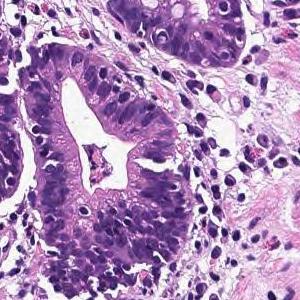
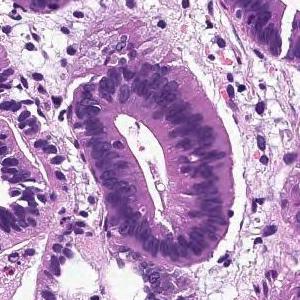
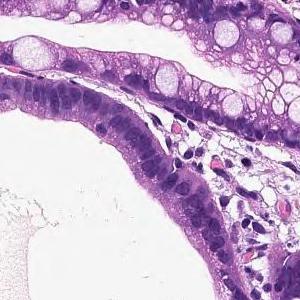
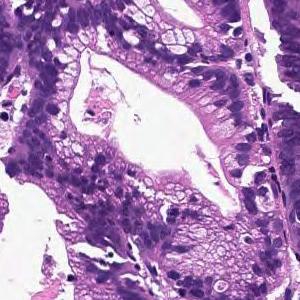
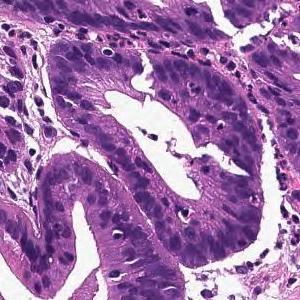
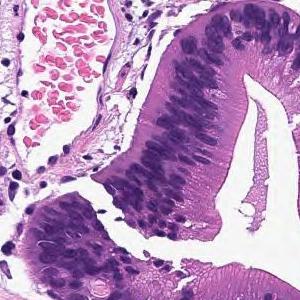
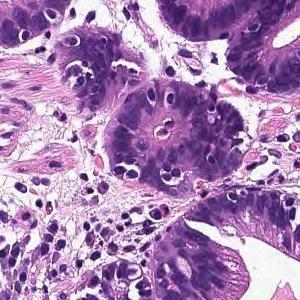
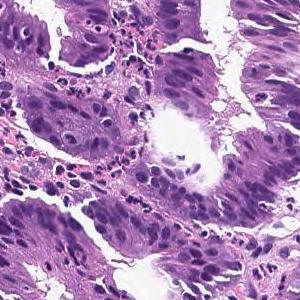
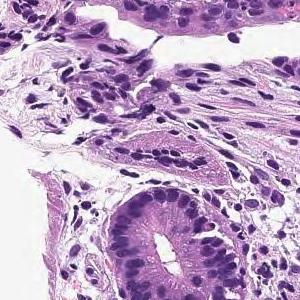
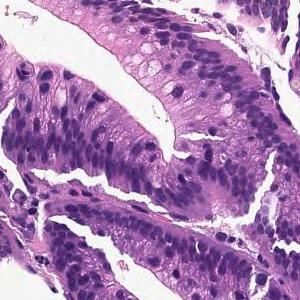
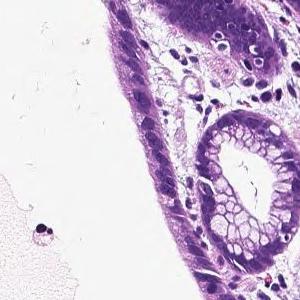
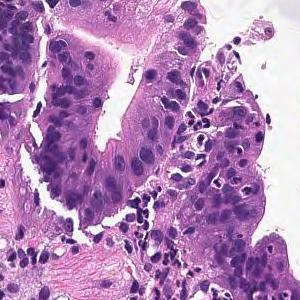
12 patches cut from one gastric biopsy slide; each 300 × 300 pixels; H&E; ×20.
Pathology report for the biopsy slide these tiles were cut from. The report and the diagnosis describe the slide as a whole, so these tiles may not show every feature named and may include non-tumor tissue.
Infiltrating tumor tissue is observed in the superficial epithelium, showing large papillary structures or large and small ducts. Papillary adenocarcinoma
